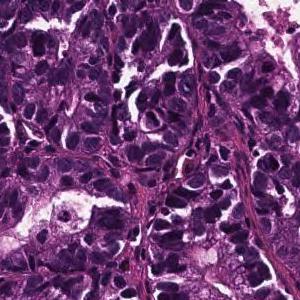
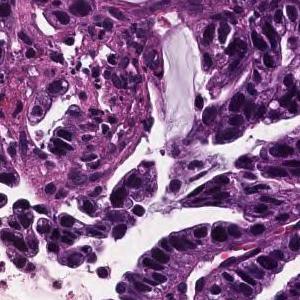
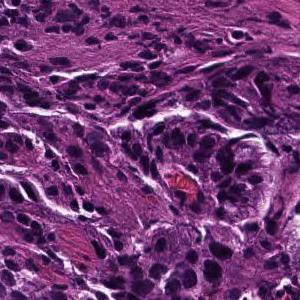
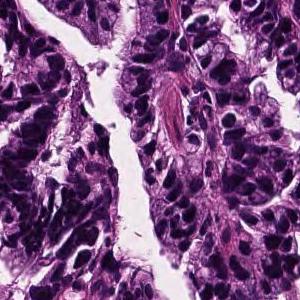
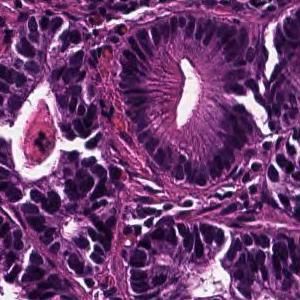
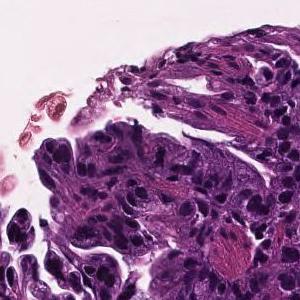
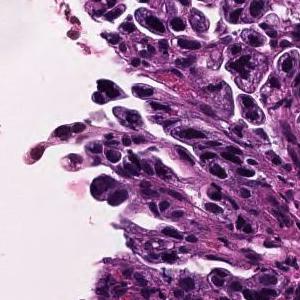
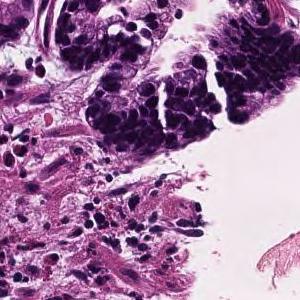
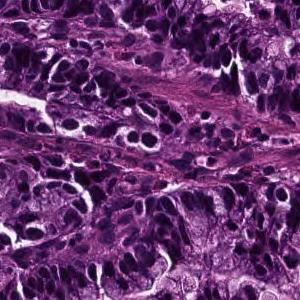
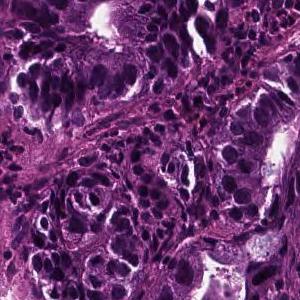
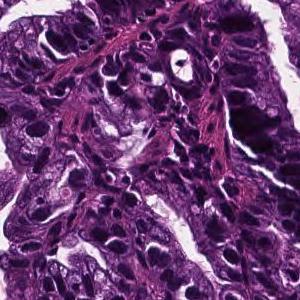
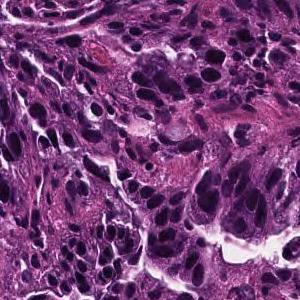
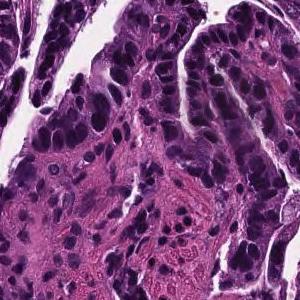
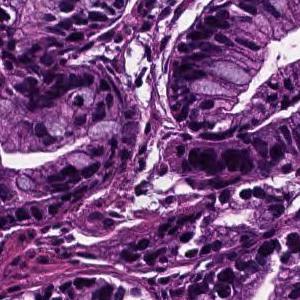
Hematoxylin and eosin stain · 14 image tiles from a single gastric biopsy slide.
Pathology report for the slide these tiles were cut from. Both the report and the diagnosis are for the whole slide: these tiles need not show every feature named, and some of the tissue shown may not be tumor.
In the superficial epithelium, tumor tissue that invades by forming medium-sized to small, irregular ducts is observed. Well differentiated tubular adenocarcinoma.
